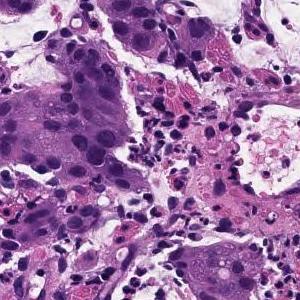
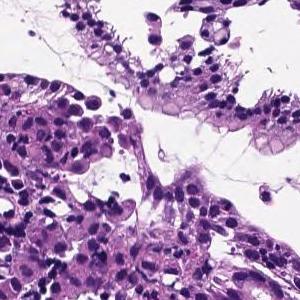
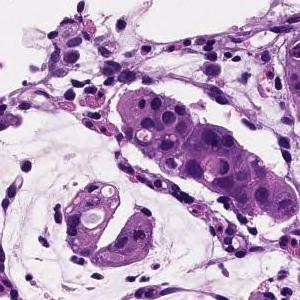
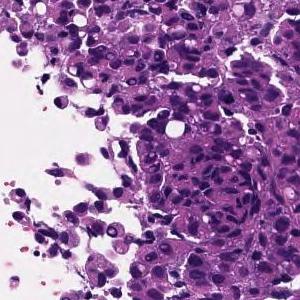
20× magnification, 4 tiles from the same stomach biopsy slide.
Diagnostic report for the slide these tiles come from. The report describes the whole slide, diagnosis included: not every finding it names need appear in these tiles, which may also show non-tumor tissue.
The superficial epithelium shows a large sheet-like shape, and some tumor tissue infiltrates with small irregular ducts. Poorly differentiated adenocarcinoma, solid-type
Subtype: Poorly differentiated adenocarcinoma, solid type (Japanese Classification of Gastric Carcinoma). The WHO 2019 equivalent is tubular adenocarcinoma, poorly differentiated.
